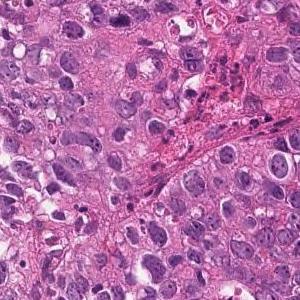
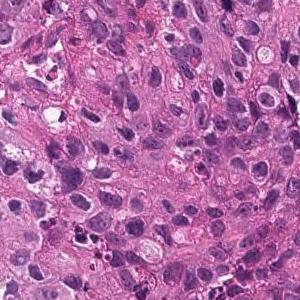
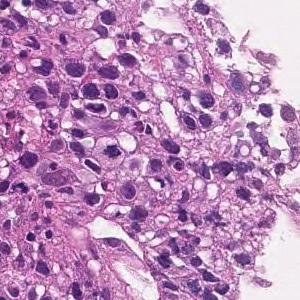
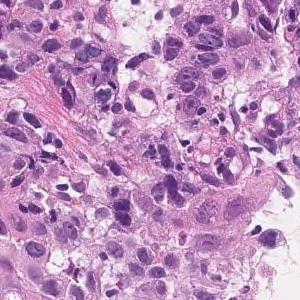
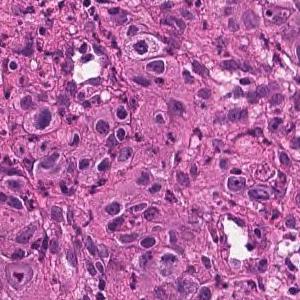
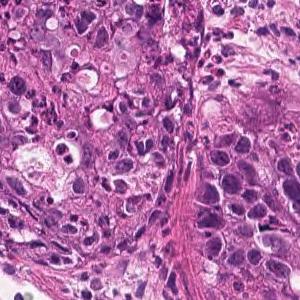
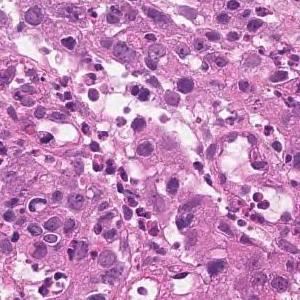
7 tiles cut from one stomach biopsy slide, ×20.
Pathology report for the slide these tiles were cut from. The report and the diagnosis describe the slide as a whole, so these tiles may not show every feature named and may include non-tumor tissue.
The superficial epithelium shows a large sheet-like shape, and some tumor tissue infiltrates with small irregular ducts. Poorly differentiated adenocarcinoma, solid-type
Histological subtype: Poorly differentiated adenocarcinoma, solid type. This name comes from the Japanese Classification of Gastric Carcinoma; the WHO 2019 classification calls it tubular adenocarcinoma, poorly differentiated.
